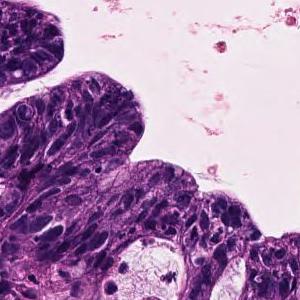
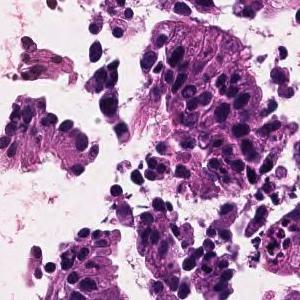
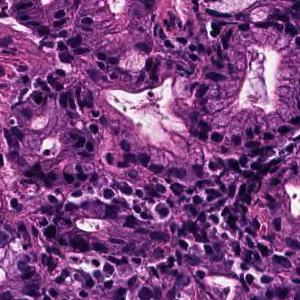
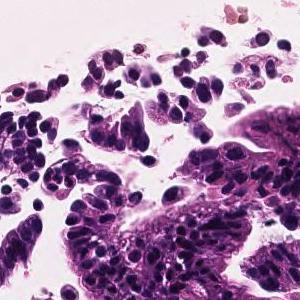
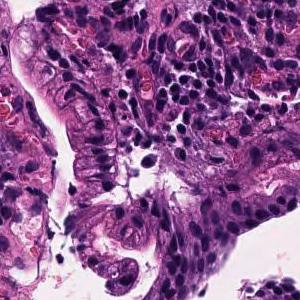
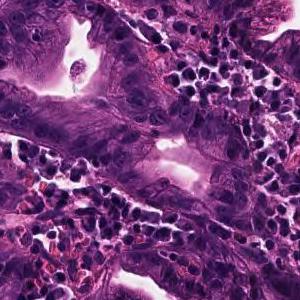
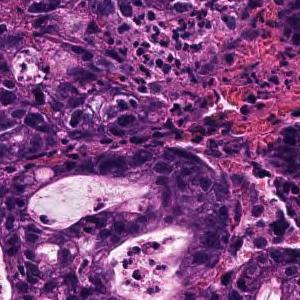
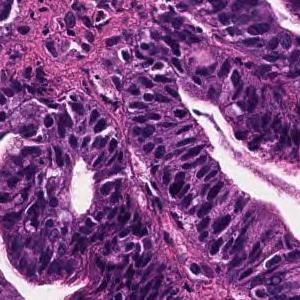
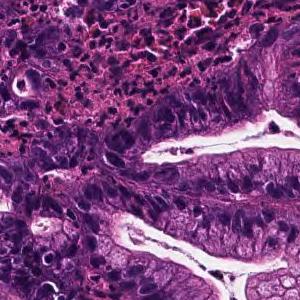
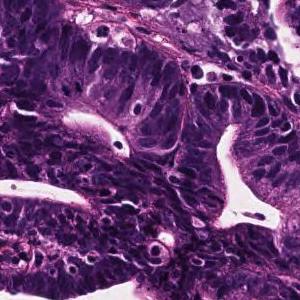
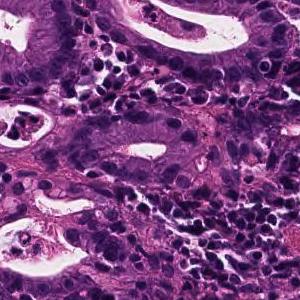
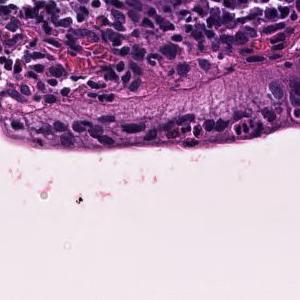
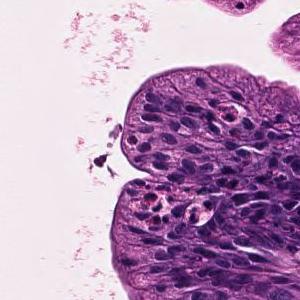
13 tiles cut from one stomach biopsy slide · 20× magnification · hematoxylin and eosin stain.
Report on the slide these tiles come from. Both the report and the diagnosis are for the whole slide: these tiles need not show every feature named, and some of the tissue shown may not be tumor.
Tumor cells are large, highly columnar, large club-shaped nuclei, and are associated with chromatin aggregation. Papillary adenocarcinoma.
